×20; hematoxylin and eosin stain; 5 image tiles from a single gastric biopsy slide.
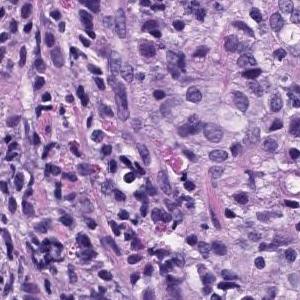
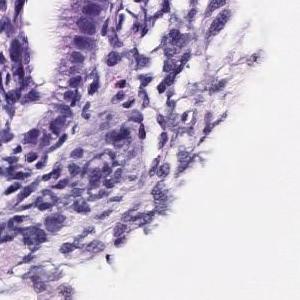
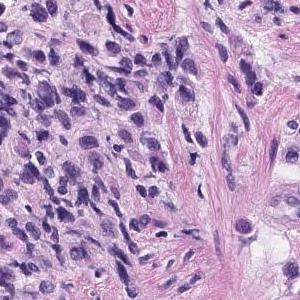
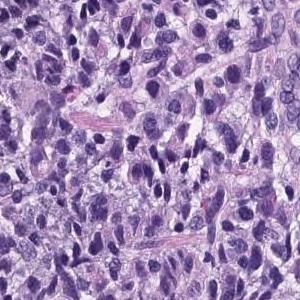
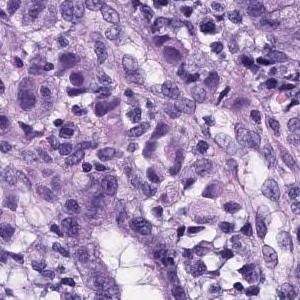
Pathology report for the biopsy slide these tiles were cut from. The report and the diagnosis describe the slide as a whole, so these tiles may not show every feature named and may include non-tumor tissue.
There are medium-sized atypical cells with marked nuclear swelling and increased N/C ratio, which grow into solid or isolated scattered cells. Poorly differentiated adenocarcinoma
Tumor subtype: poorly differentiated adenocarcinoma, solid type, a category of the Japanese Classification of Gastric Carcinoma; in the WHO 2019 classification it is tubular adenocarcinoma, poorly differentiated.
